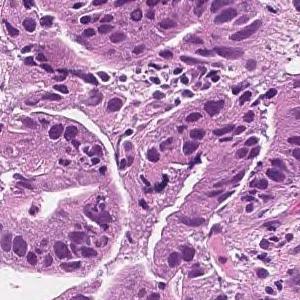
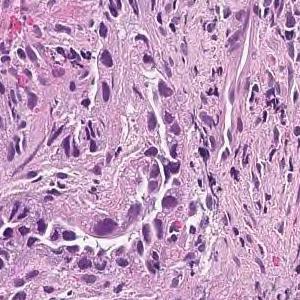
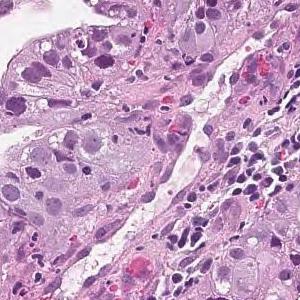
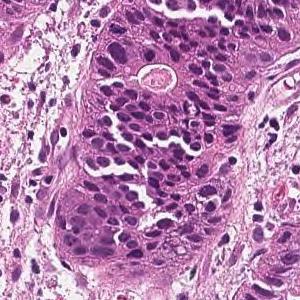
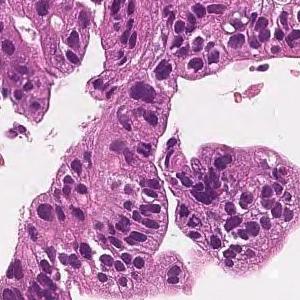
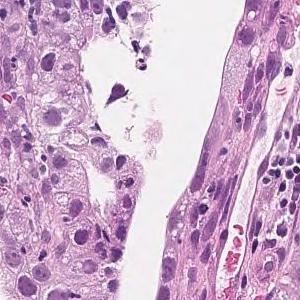
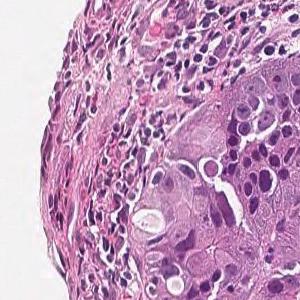
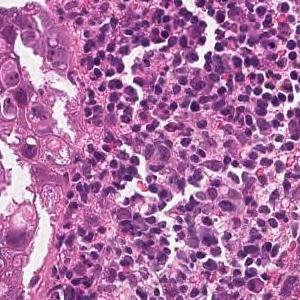
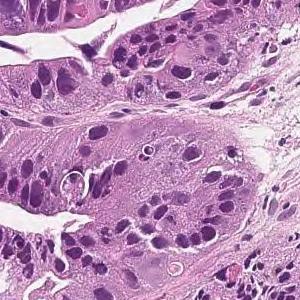
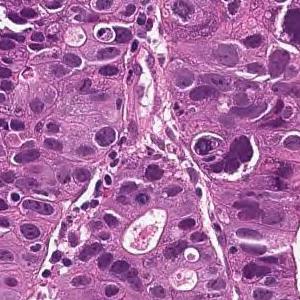
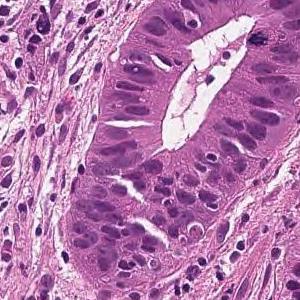
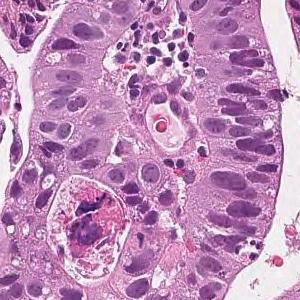
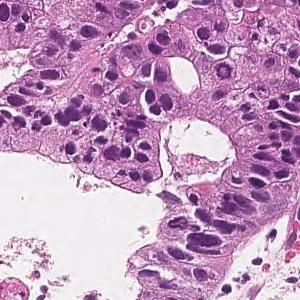
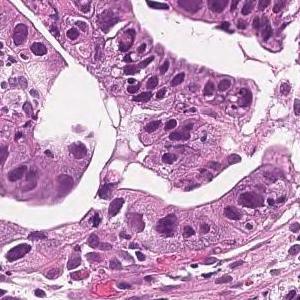
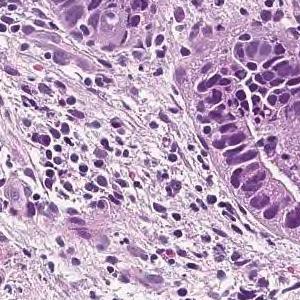
15 tiles cut from one stomach biopsy slide · 300×300 px each · H&E stain.
Report on the slide these tiles come from. The report describes the whole slide, diagnosis included: not every finding it names need appear in these tiles, which may also show non-tumor tissue.
In the superficial epithelium, tumor tissue that invades by forming medium-sized to small, irregular ducts is observed. moderately differentiated tubular adenocarcinoma.
